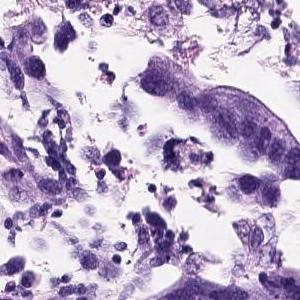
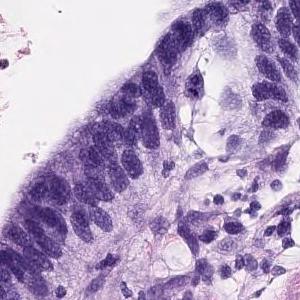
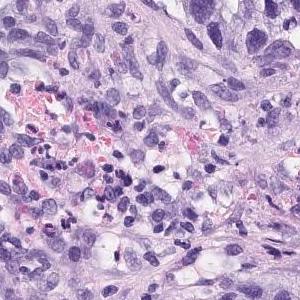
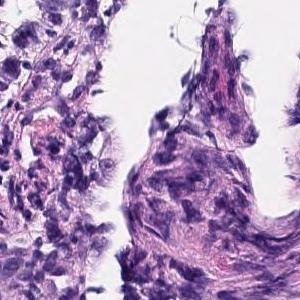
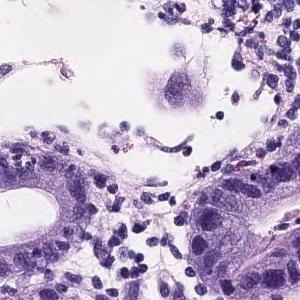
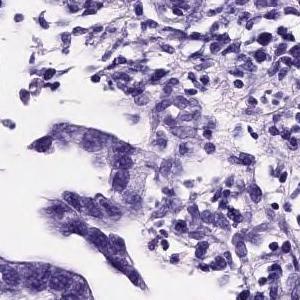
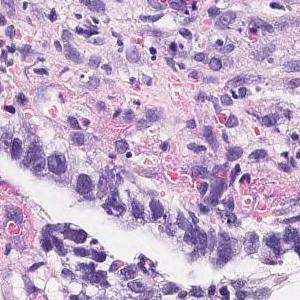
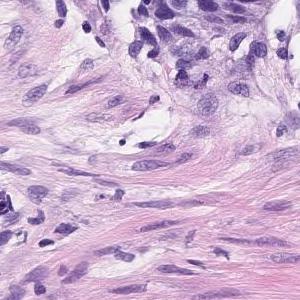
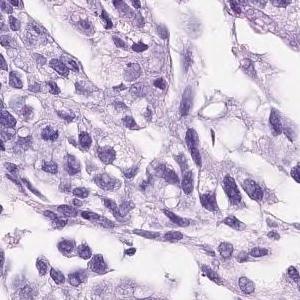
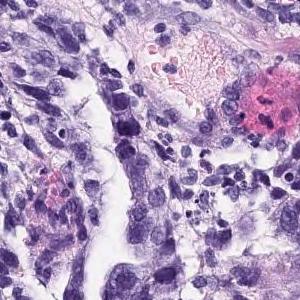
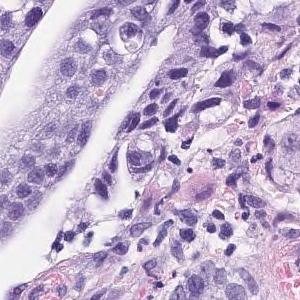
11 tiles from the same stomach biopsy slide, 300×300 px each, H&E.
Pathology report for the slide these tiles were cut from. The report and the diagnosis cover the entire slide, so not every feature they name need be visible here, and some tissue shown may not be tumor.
On the superficial epithelium, tumor tissue consisting of medium to small irregular tubules partially fused and proliferated is observed. moderately differentiated tubular adenocarcinoma
